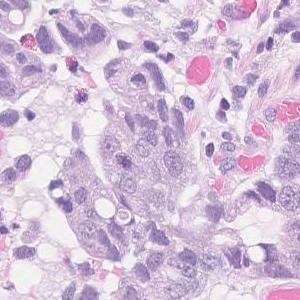
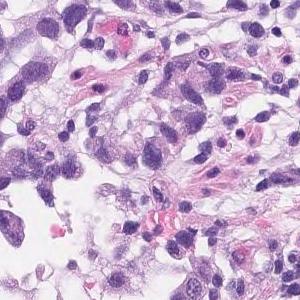
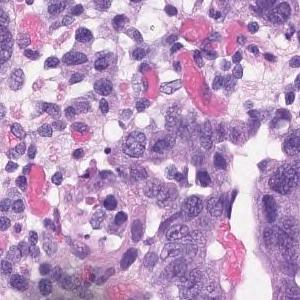
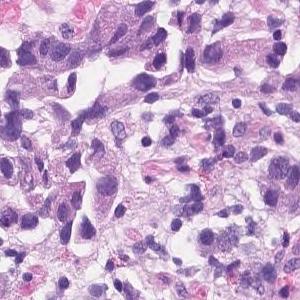
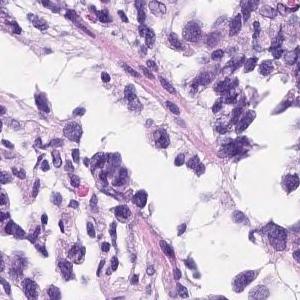
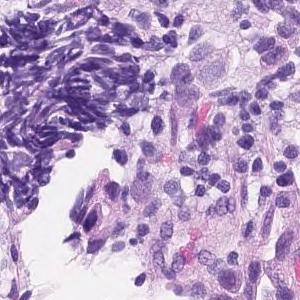
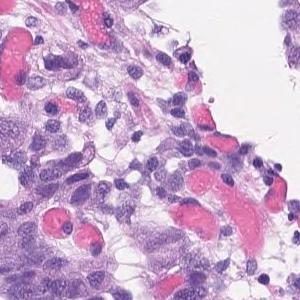
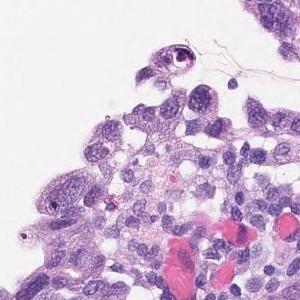
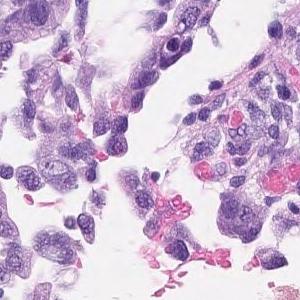
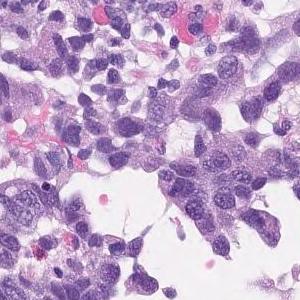
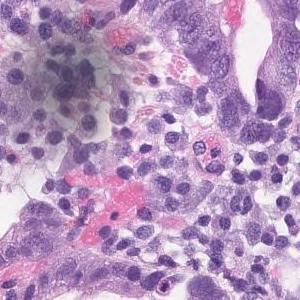
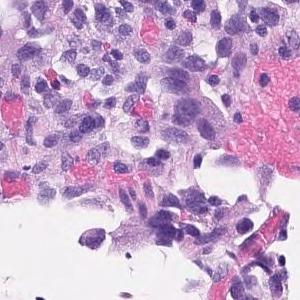
12 patches cut from one gastric biopsy slide; 300 × 300 pixels each; hematoxylin and eosin stain; ×20.
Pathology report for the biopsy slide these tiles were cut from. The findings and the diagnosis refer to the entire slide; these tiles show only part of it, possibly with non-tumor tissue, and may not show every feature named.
Atypical l cells with atypical nuclei forming solid or diffuse vesicles or small irregular atypical ducts and growing in a complex manner. poorly differentiated adenocarcinoma, solid type, moderately differentiated tubular adenocarcinoma.
Subtypes: Poorly differentiated adenocarcinoma, solid type and moderately differentiated tubular adenocarcinoma.
The solid type named here is a Japanese Classification of Gastric Carcinoma category; WHO 2019 calls it tubular adenocarcinoma, poorly differentiated.
